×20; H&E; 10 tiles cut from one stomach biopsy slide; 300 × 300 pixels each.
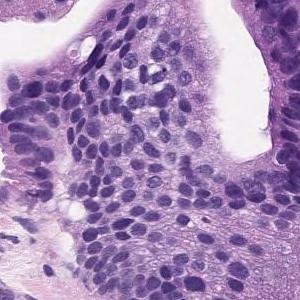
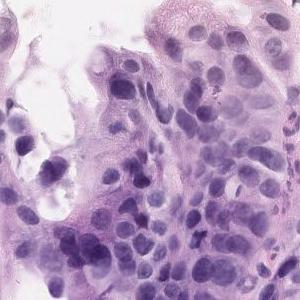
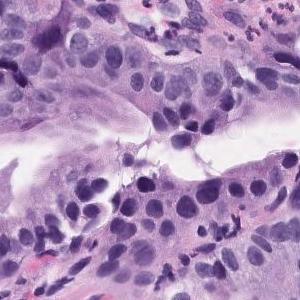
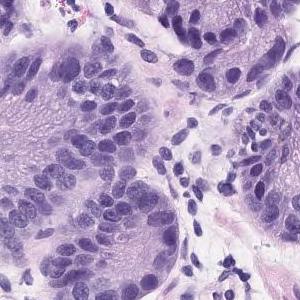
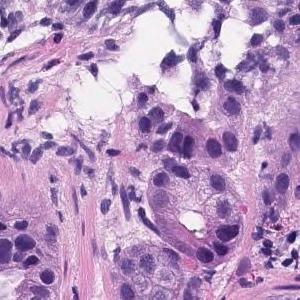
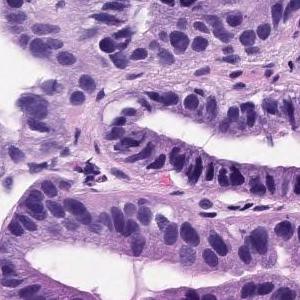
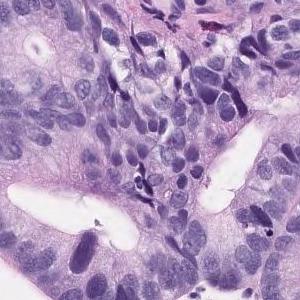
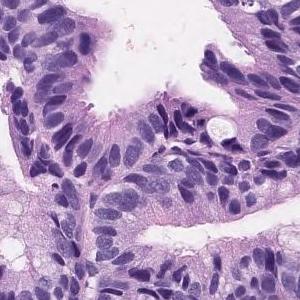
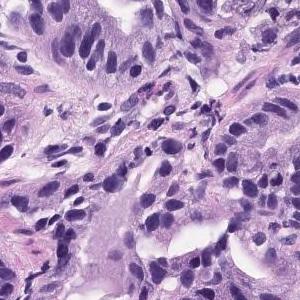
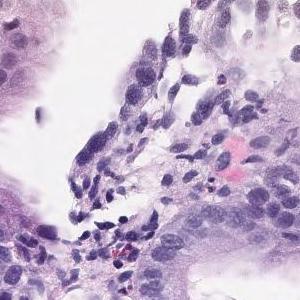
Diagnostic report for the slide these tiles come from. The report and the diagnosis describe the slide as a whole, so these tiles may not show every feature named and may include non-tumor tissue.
Tumor tissue consisting of medium-sized and irregular ducts is observed infiltrating in the superficial epithelium. Tumor cells are highly columnar, with nuclei aligned basolaterally and polarized. Well differentiated tubular adenocarcinoma.
